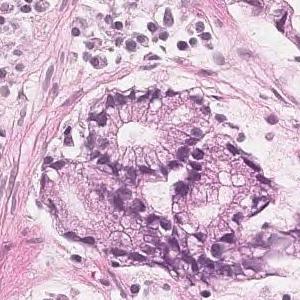
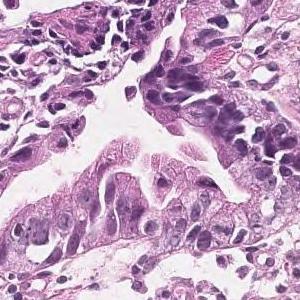
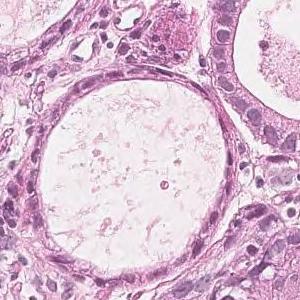
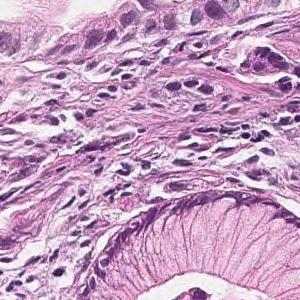
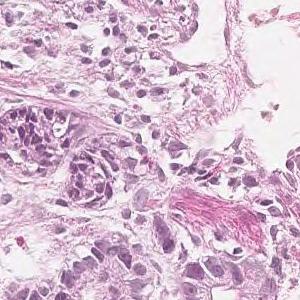
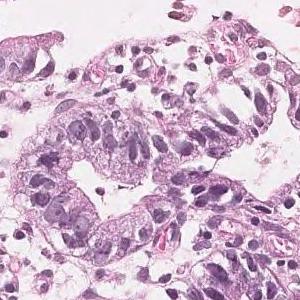
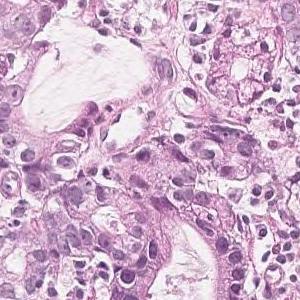
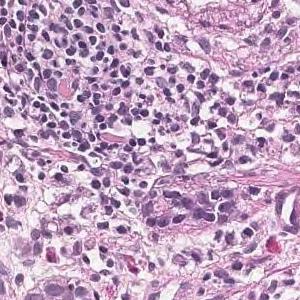
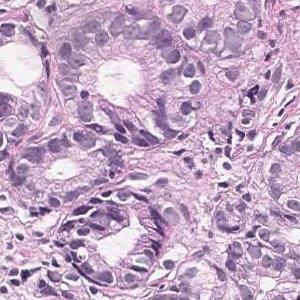
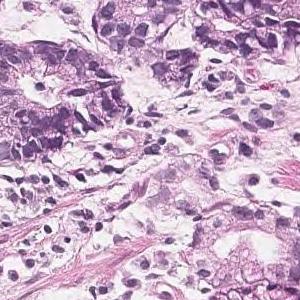
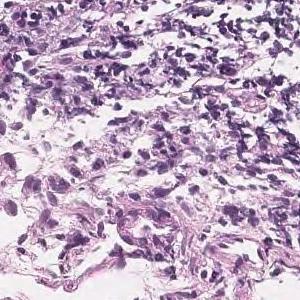
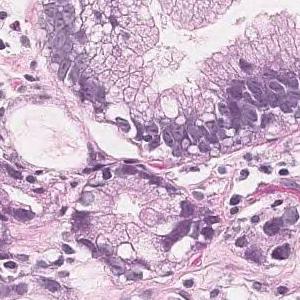
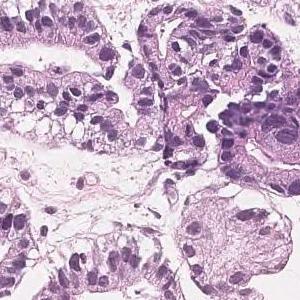
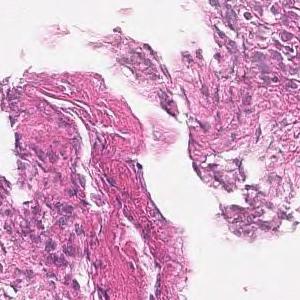
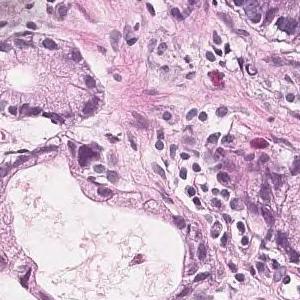
Scanned at ×20; hematoxylin and eosin stain; 15 image tiles from a single gastric biopsy slide; 300×300 px each.
Report on the slide these tiles come from. What the report and the diagnosis say applies to the whole slide; these tiles may miss some of the features named and may include tissue that is not tumor.
In the superficial epithelium, tumor tissue that invades by forming medium-sized to small, irregular ducts is observed. moderately differentiated tubular adenocarcinoma.
